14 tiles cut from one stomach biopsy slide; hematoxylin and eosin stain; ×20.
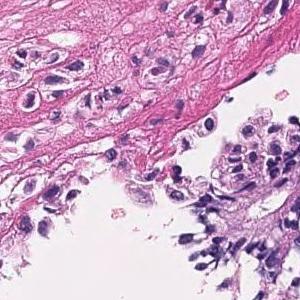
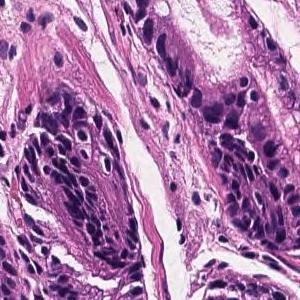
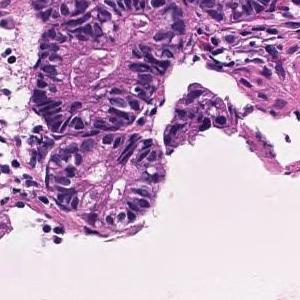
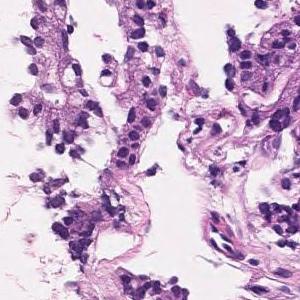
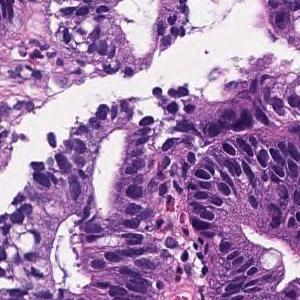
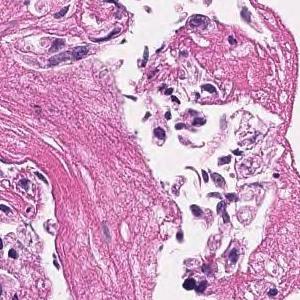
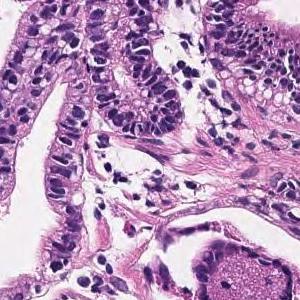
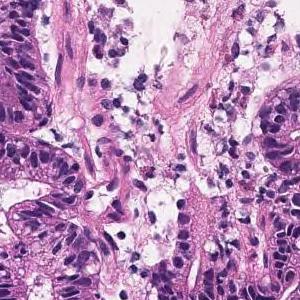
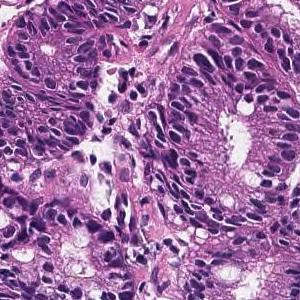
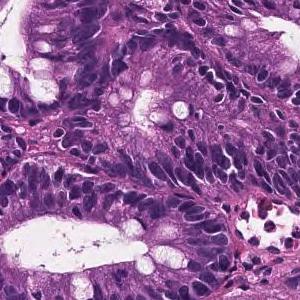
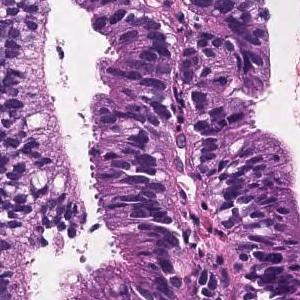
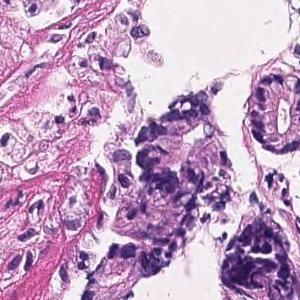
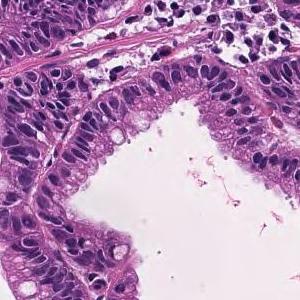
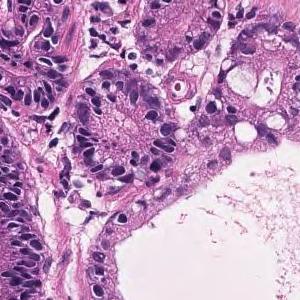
Pathology report for the slide these tiles were cut from. The report and the diagnosis describe the slide as a whole, so these tiles may not show every feature named and may include non-tumor tissue.
Most remain in the superficial epithelium, forming medium-sized papillary or small irregular ducts and proliferating, and some tumor tissue invades the muscularis mucosae. Papillary adenocarcinoma
